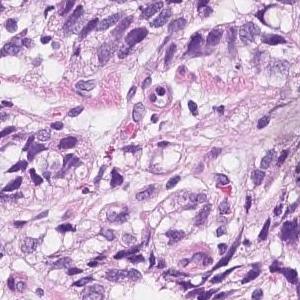
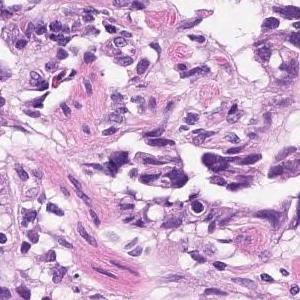
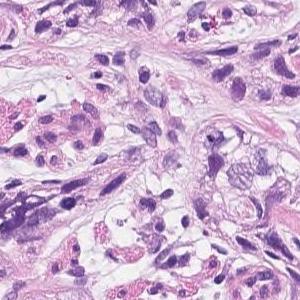
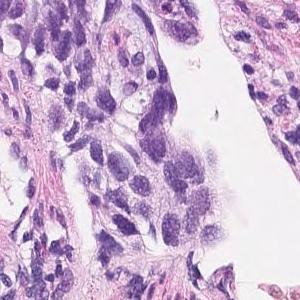
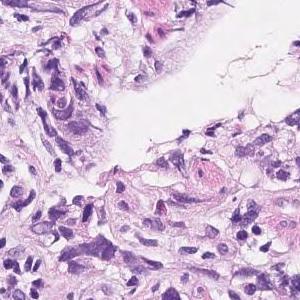
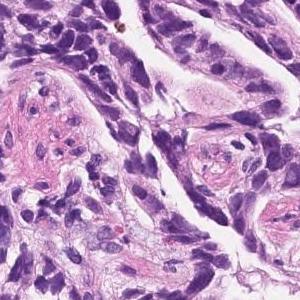
6 tiles from the same stomach biopsy slide.
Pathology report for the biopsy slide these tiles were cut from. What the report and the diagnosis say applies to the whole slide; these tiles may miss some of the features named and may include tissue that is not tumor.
In the superficial epithelium, tumor tissue that invades by forming medium-sized to small, irregular ducts is observed. Moderately differentiated adenocarcinoma.
Histological subtype: Moderately differentiated tubular adenocarcinoma.
